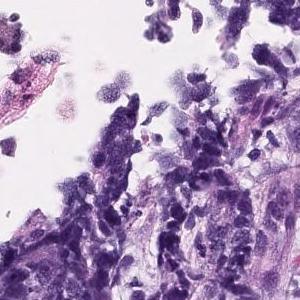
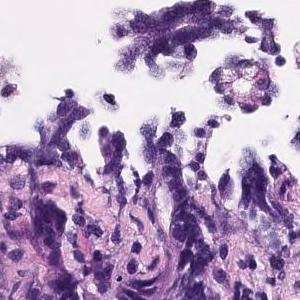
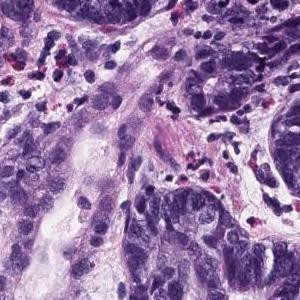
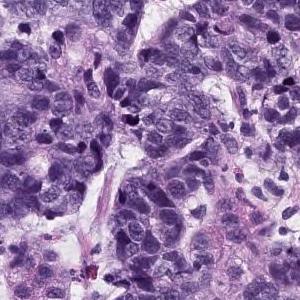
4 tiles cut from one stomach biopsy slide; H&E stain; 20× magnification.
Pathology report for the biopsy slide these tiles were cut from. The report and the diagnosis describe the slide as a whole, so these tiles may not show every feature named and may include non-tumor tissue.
Group 5, Adenocarcinoma. Moderately to poorly differentiated adenocarcinoma
